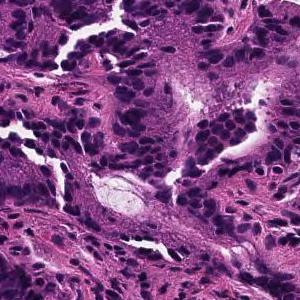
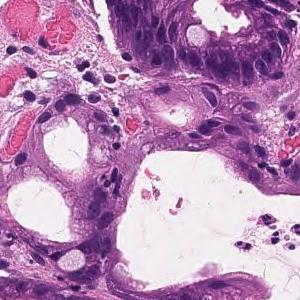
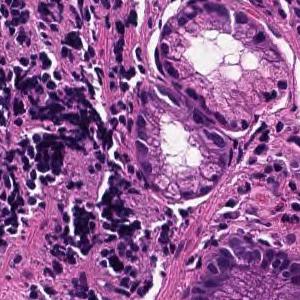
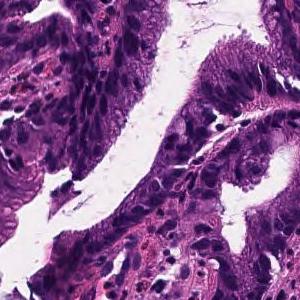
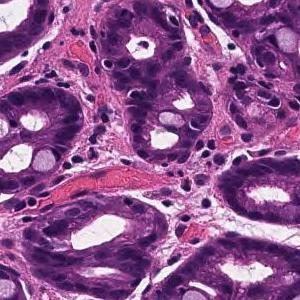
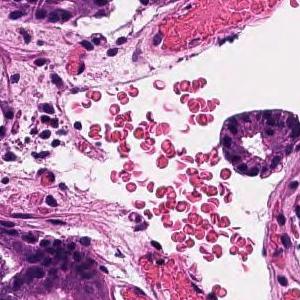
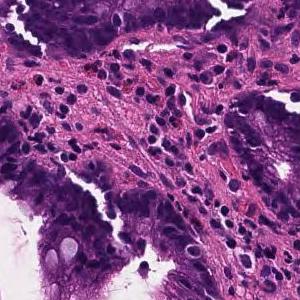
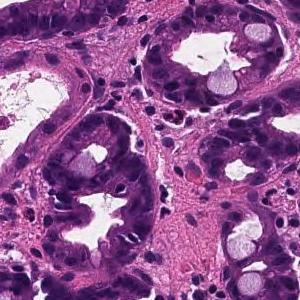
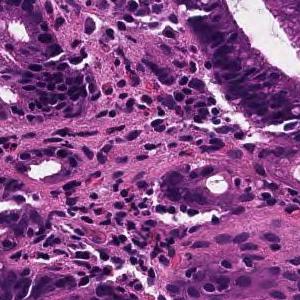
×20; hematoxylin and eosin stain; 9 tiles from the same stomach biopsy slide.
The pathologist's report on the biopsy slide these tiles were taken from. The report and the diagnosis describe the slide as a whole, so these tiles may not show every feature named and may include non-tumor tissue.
From the superficial epithelium to the muscularis mucosae, tumor tissue consisting of medium-sized and irregular glandular ducts infiltrating is observed. Well differentiated tubular adenocarcinoma
